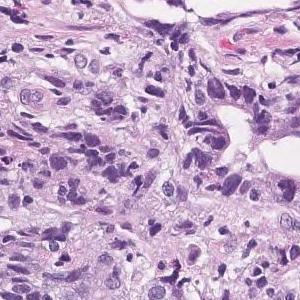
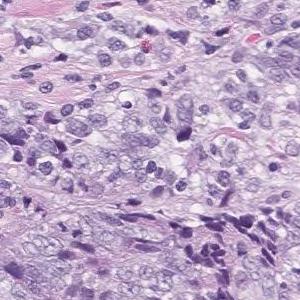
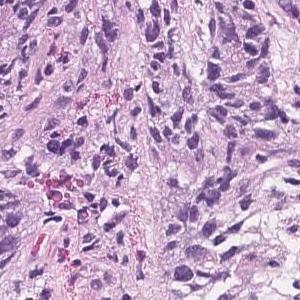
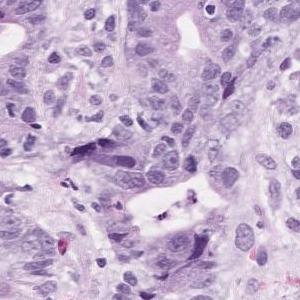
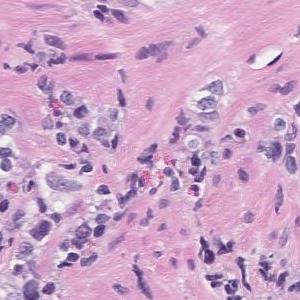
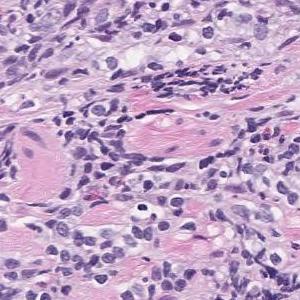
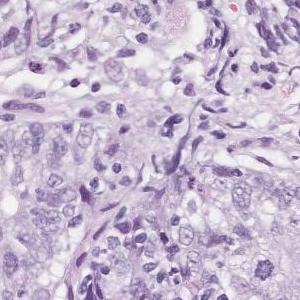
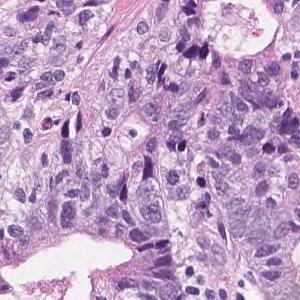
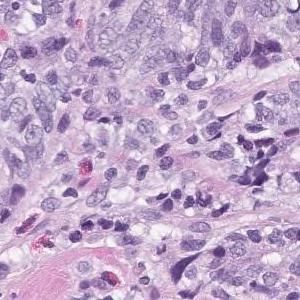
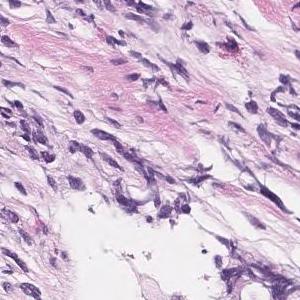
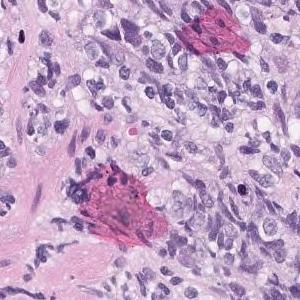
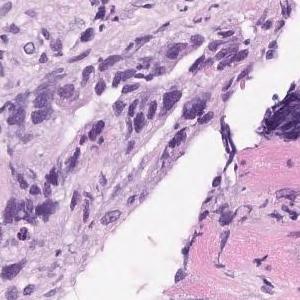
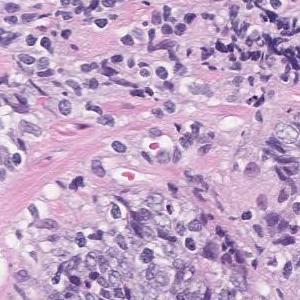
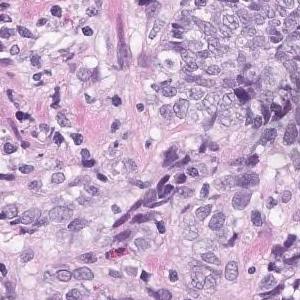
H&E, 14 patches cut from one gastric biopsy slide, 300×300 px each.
Report on the slide these tiles come from. Both the report and the diagnosis are for the whole slide: these tiles need not show every feature named, and some of the tissue shown may not be tumor.
Highly columnar epithelium with disordered nuclear localization proliferates showing fusion ductal construction. moderately differentiated tubular adenocarcinoma
